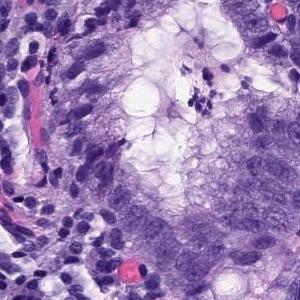
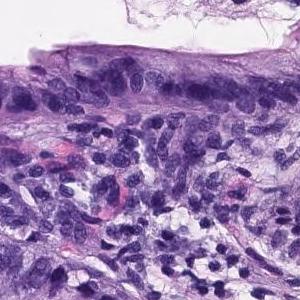
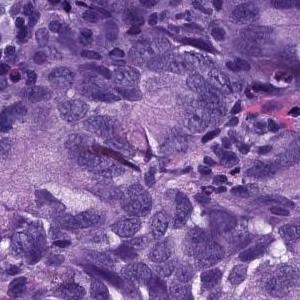
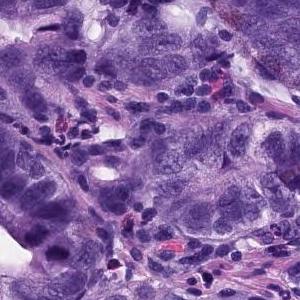
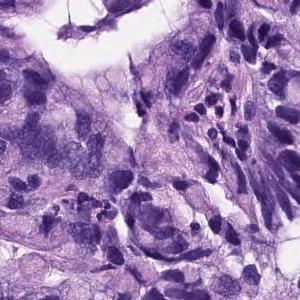
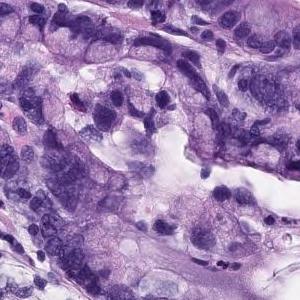
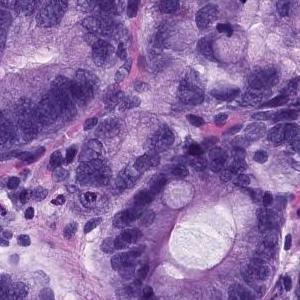
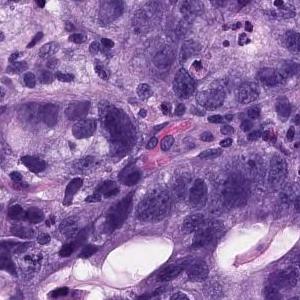
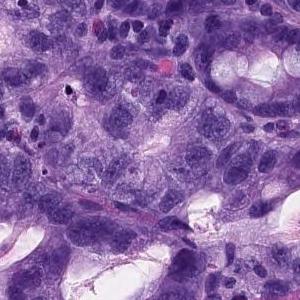
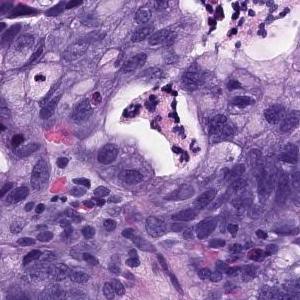
Hematoxylin and eosin stain; 10 patches cut from one gastric biopsy slide; each 300 × 300 pixels.
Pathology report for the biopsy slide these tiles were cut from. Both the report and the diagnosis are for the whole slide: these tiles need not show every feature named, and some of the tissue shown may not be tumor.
There are large atypical epithelial cells infiltrating and proliferating while forming atypical glandular cavities showing a fusion tendency. Moderately differentiated tubular adenocarcinoma.
